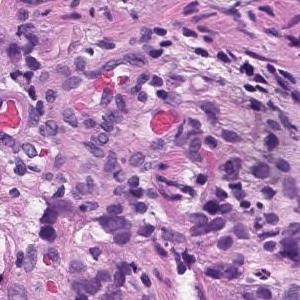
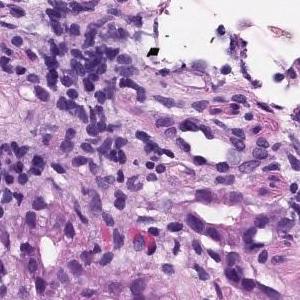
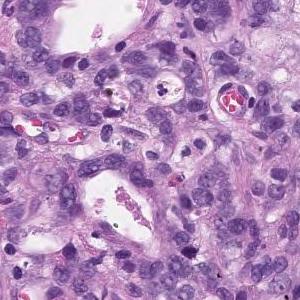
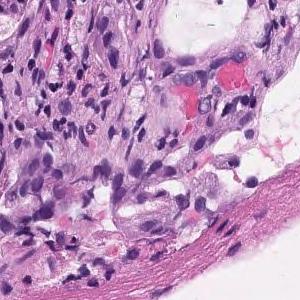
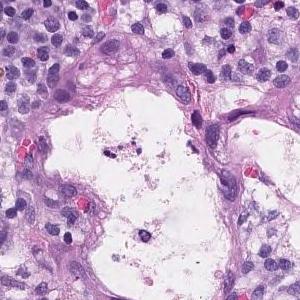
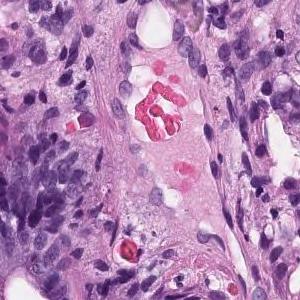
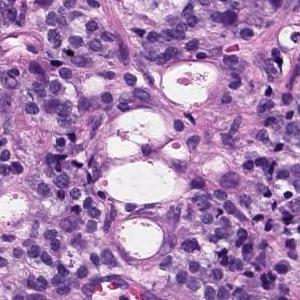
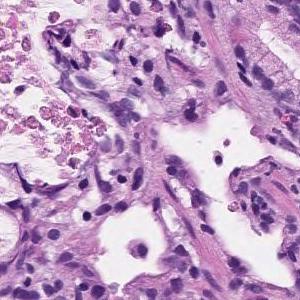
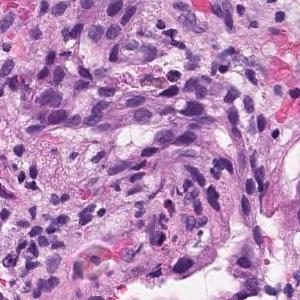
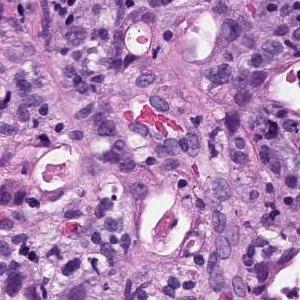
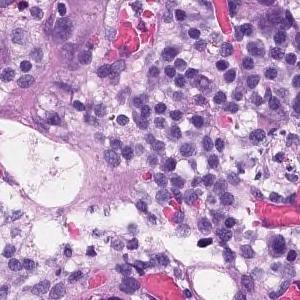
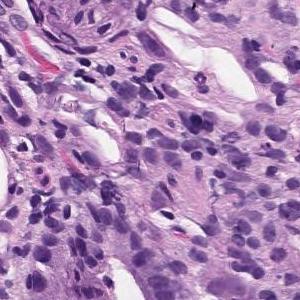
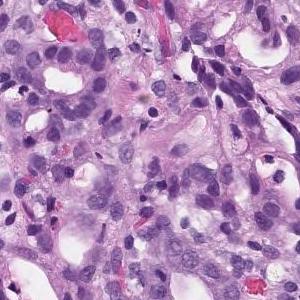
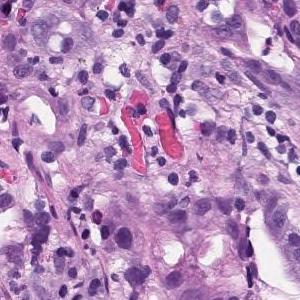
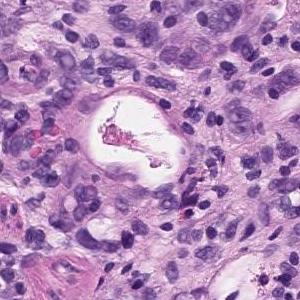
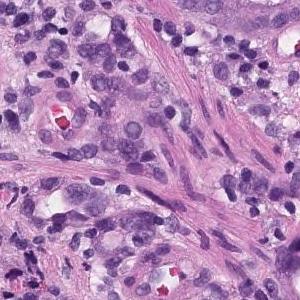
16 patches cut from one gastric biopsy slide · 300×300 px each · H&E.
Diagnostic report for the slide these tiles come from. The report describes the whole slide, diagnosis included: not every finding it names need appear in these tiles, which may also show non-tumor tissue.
In the superficial epithelium, tumor tissue that invades by forming medium-sized to small, irregular ducts is observed. Moderately differentiated adenocarcinoma.
Histologic type: Moderately differentiated tubular adenocarcinoma.
